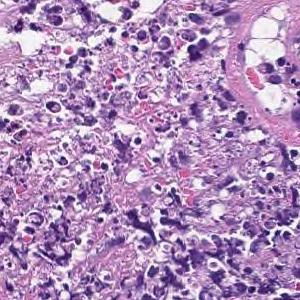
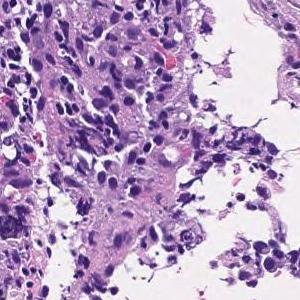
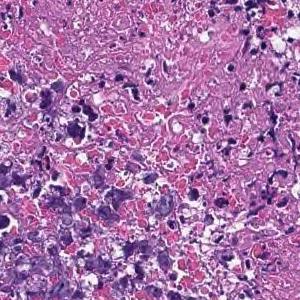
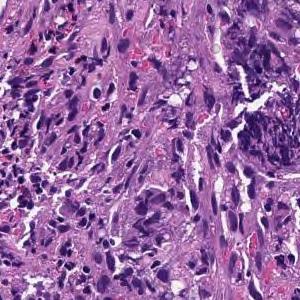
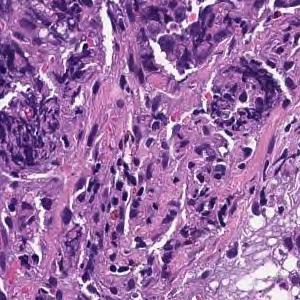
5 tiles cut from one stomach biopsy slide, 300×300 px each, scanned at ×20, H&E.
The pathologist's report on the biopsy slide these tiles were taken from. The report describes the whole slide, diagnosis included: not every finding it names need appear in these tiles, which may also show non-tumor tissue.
Most are composed of coagulative necrotic tissue, but some show a large sheet-like shape, and some show tumor tissue infiltrating with a small cord-like structure. Poorly differentiated adenocarcinoma, solid-type
Classified as poorly differentiated adenocarcinoma, solid type. This name comes from the Japanese Classification of Gastric Carcinoma; the WHO 2019 classification calls it tubular adenocarcinoma, poorly differentiated.
